10 tiles from the same stomach biopsy slide; 300 × 300 pixels each; H&E stain.
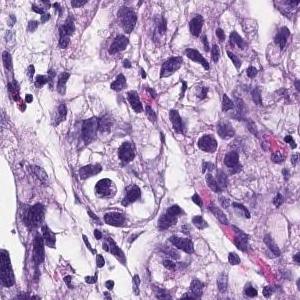
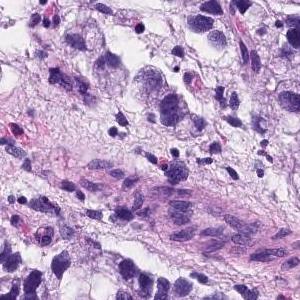
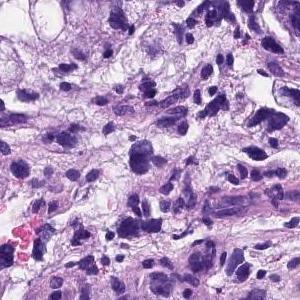
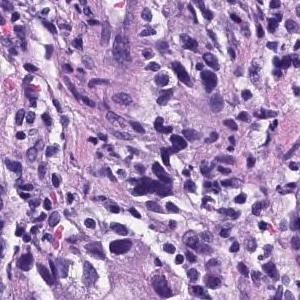
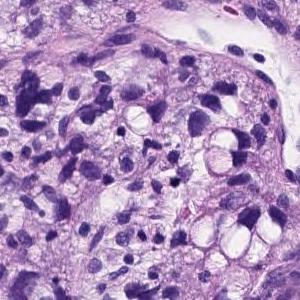
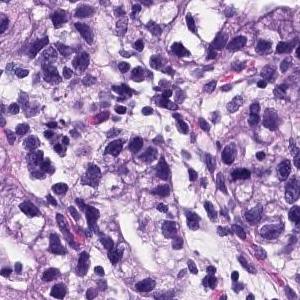
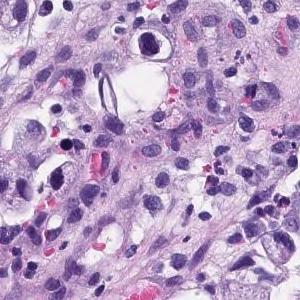
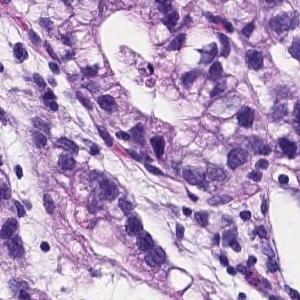
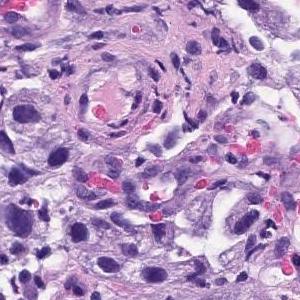
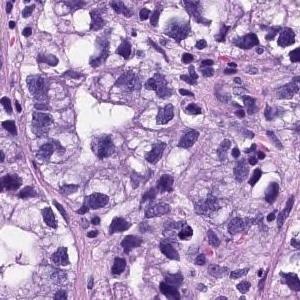
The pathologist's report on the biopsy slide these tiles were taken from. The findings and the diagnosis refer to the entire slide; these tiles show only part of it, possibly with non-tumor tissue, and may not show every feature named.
Medium to small, irregular glandular ducts are formed in the superficial epithelium, and in some cases, the glandular ducts are fused to show solid alveolar lesions and infiltrating tumor tissue is observed. Poorly differentiated adenocarcinoma, Moderately differentiated adenocarcinoma.
The dataset labels this slide moderately differentiated tubular adenocarcinoma.
